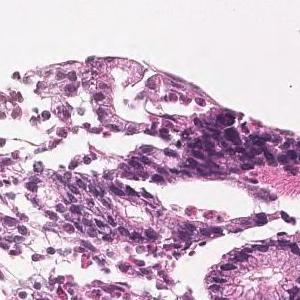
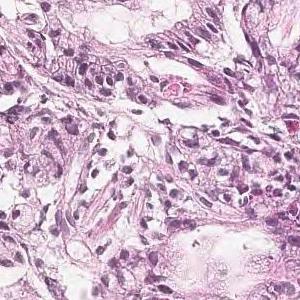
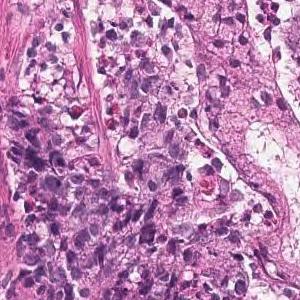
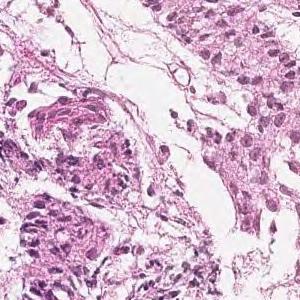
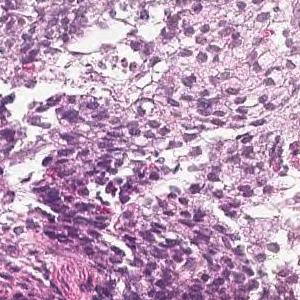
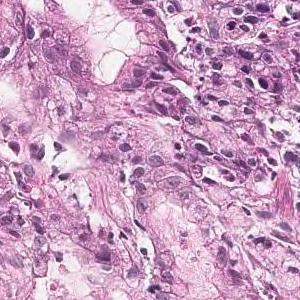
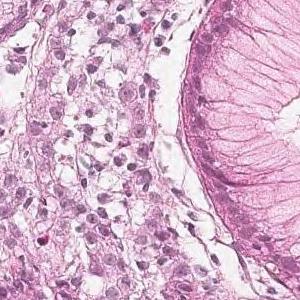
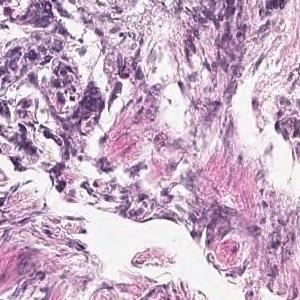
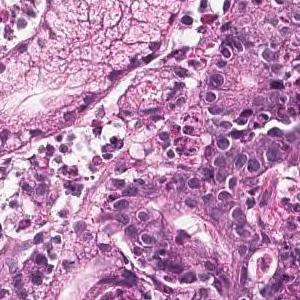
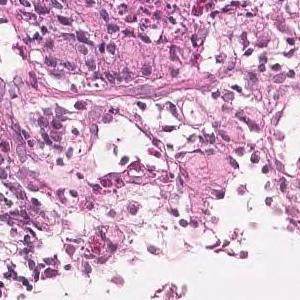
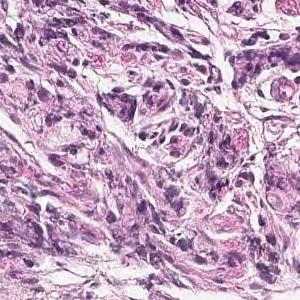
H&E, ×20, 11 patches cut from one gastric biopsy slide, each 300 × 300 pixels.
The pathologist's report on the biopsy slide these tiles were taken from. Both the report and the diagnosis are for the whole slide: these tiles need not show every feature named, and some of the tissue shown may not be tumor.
Tumor tissue consisting of medium-sized, cord-like or irregular glandular infiltration is observed in the superficial epithelium. Poorly differentiated adenocarcinoma, non-solid type or moderately differentiated tubular adenocarcinoma
The term "non-solid type" comes from the Japanese Classification of Gastric Carcinoma.
